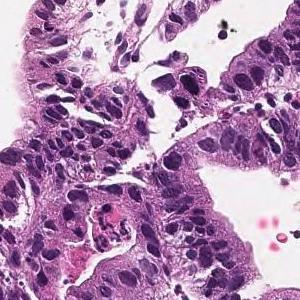
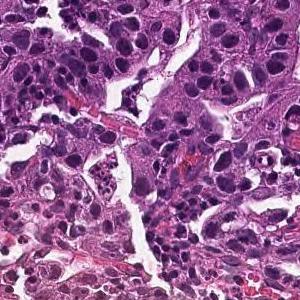
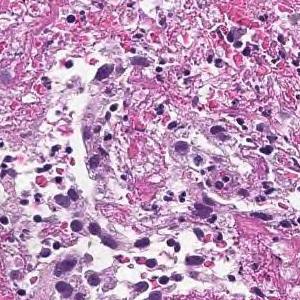
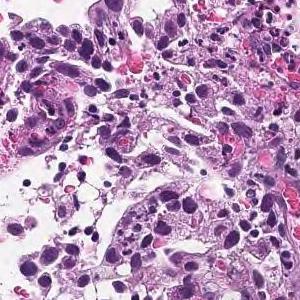
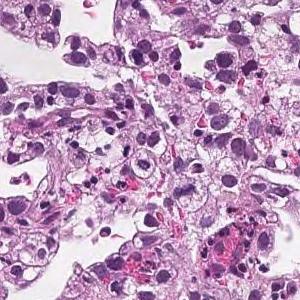
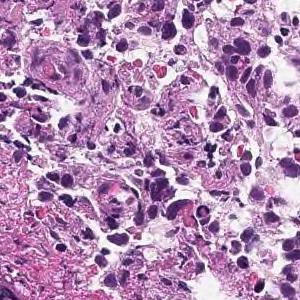
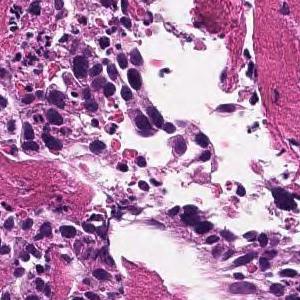
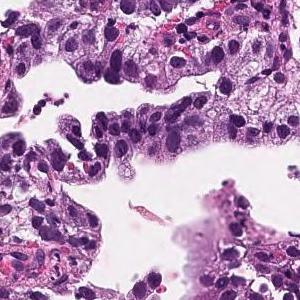
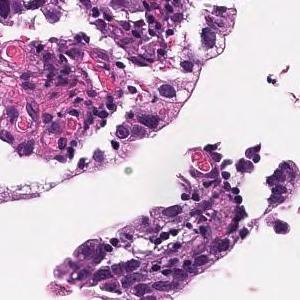
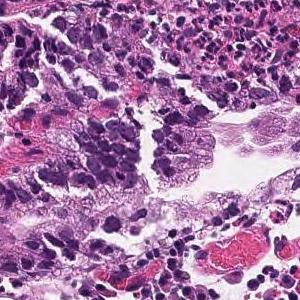
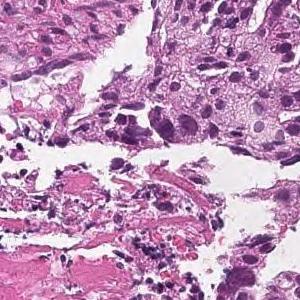
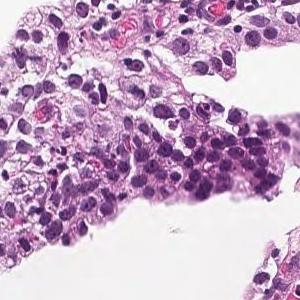
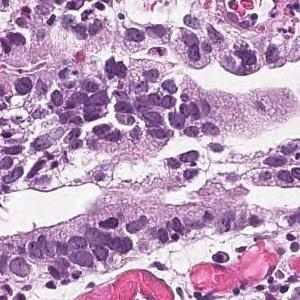
20× magnification; H&E stain; 13 patches cut from one gastric biopsy slide; 300×300 px each.
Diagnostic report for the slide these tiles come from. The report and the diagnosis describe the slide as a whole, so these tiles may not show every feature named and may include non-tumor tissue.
Tumor tissue consisting of medium-sized, cord-like or irregular glandular infiltration is observed in the superficial epithelium. Poorly differentiated adenocarcinoma, non-solid type or moderately differentiated tubular adenocarcinoma
Classified as moderately to poorly differentiated adenocarcinoma.
"Non-solid type" is a category of the Japanese Classification of Gastric Carcinoma.
